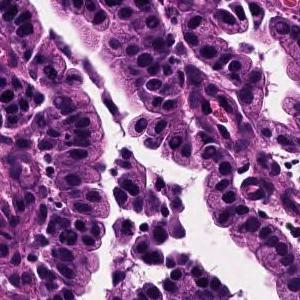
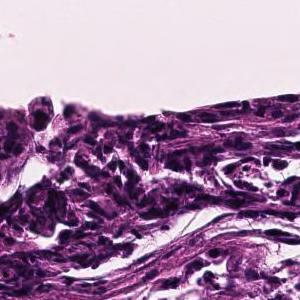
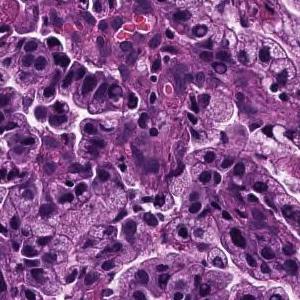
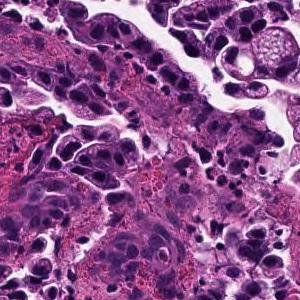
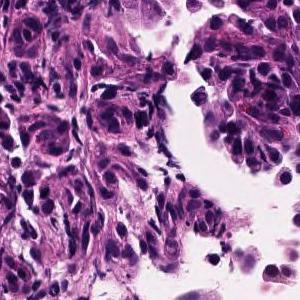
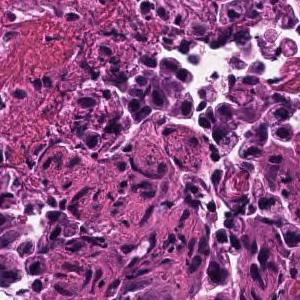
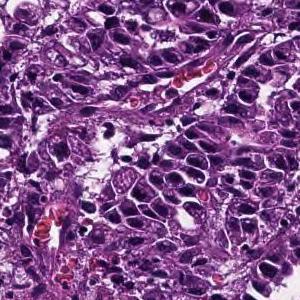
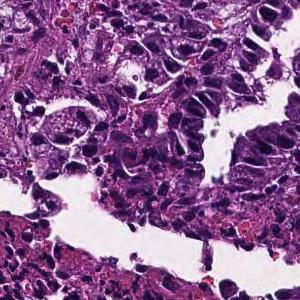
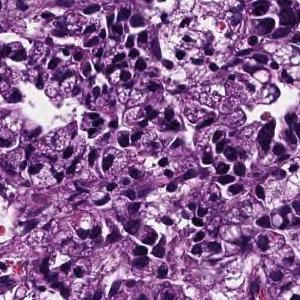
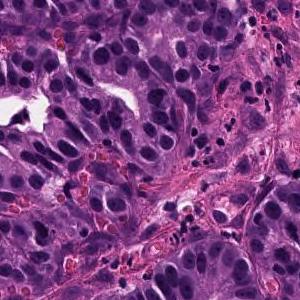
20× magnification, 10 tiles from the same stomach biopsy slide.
The pathologist's report on the biopsy slide these tiles were taken from. The report and the diagnosis cover the entire slide, so not every feature they name need be visible here, and some tissue shown may not be tumor.
Tumor cells are large, highly columnar, large club-shaped nuclei, and are associated with chromatin aggregation. Papillary adenocarcinoma.
